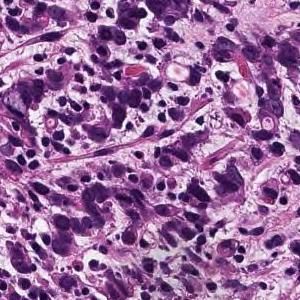
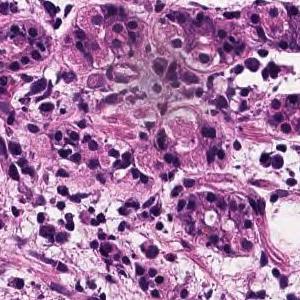
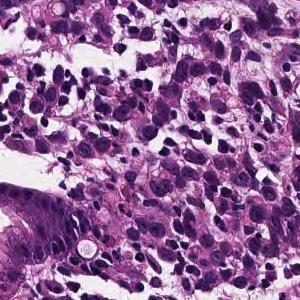
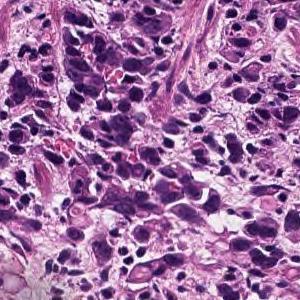
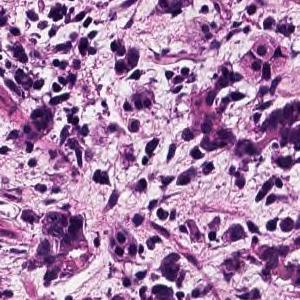
Scanned at ×20; H&E stain; 5 image tiles from a single gastric biopsy slide.
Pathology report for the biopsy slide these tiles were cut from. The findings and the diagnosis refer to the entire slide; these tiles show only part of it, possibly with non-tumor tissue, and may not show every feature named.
Tumor tissue consisting of cord-like or small, irregular glandular ducts fused and infiltrated is observed in the superficial epithelium. Poorly differentiated adenocarcinoma, non-solid type
The non-solid type named here is a Japanese Classification of Gastric Carcinoma category.
